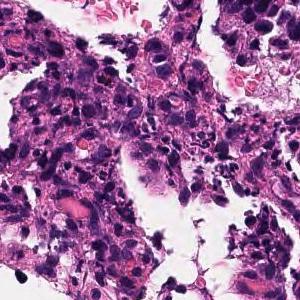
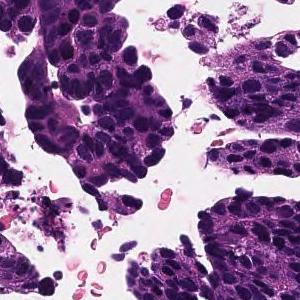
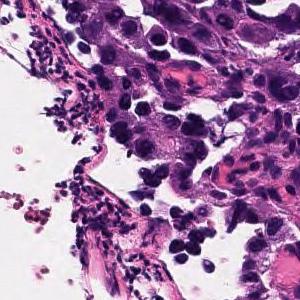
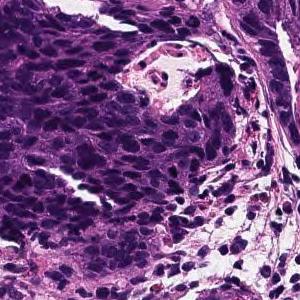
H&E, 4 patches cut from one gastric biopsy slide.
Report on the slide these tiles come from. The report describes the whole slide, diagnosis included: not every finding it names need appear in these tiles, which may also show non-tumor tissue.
In the superficial epithelium, tumor tissue that invades by forming medium-sized to small, irregular ducts is observed. moderately differentiated tubular adenocarcinoma.
